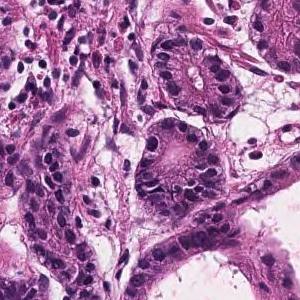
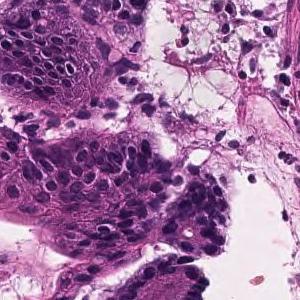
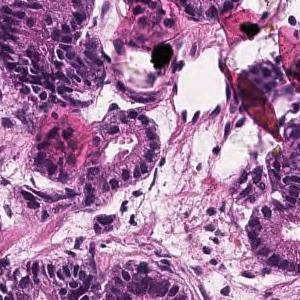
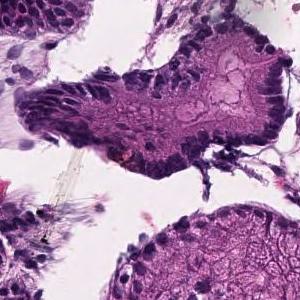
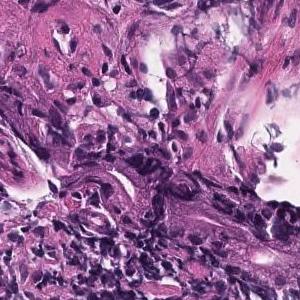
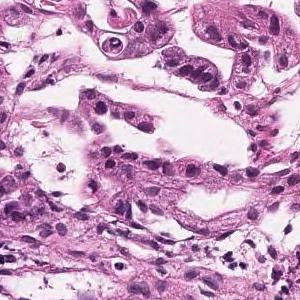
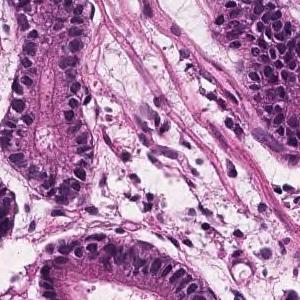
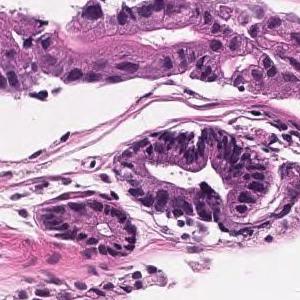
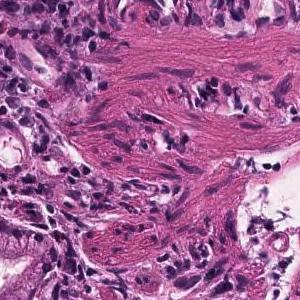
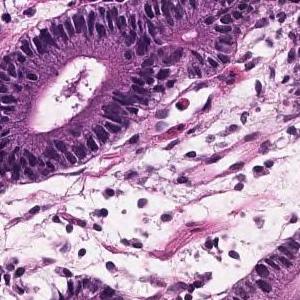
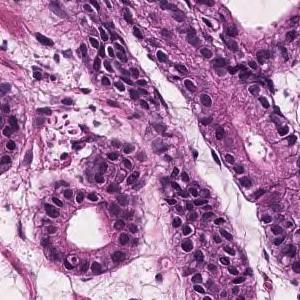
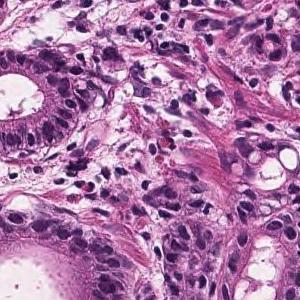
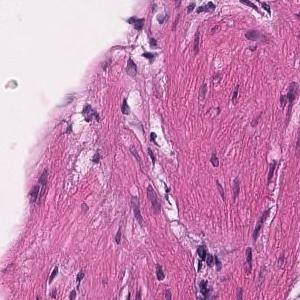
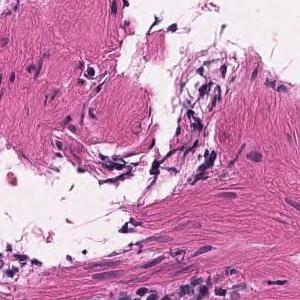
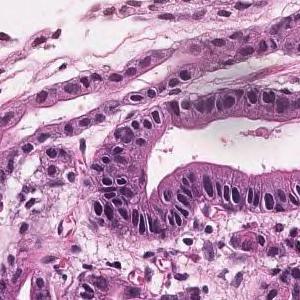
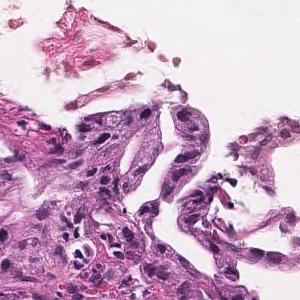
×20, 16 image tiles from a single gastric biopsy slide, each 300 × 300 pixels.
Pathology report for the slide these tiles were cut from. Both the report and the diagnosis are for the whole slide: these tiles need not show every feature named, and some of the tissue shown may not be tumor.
Tumor tissue with atypical epithelium showing irregular ductal or sieving ductal structure and proliferating is observed. Well to moderately differentiated tubular adenocarcinoma (well differentiated tubular adenocarcinoma-moderately differentiated tubular adenocarcinoma)
Histologic type: Well to moderately differentiated tubular adenocarcinoma.
